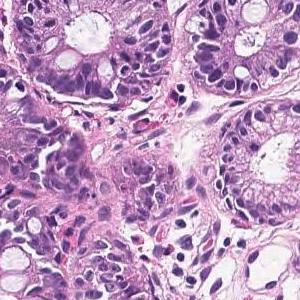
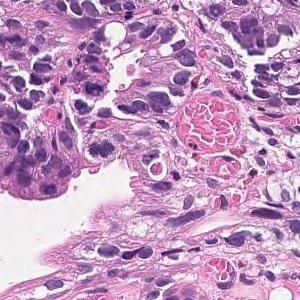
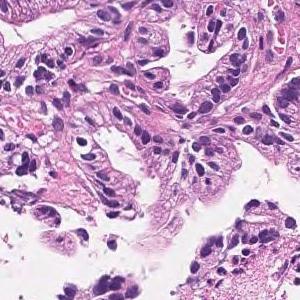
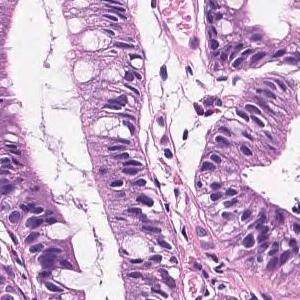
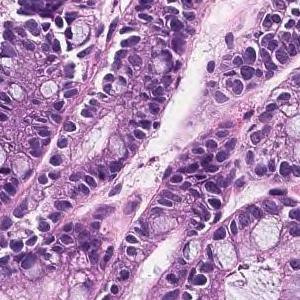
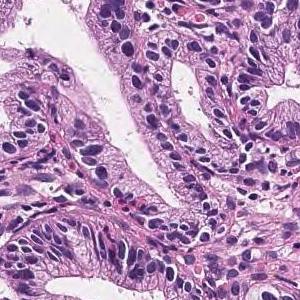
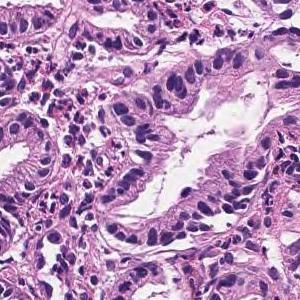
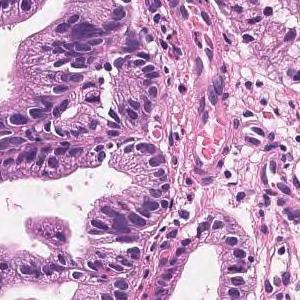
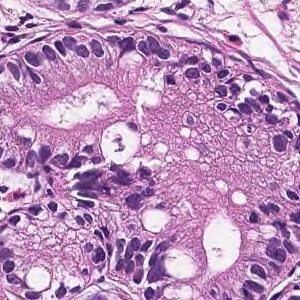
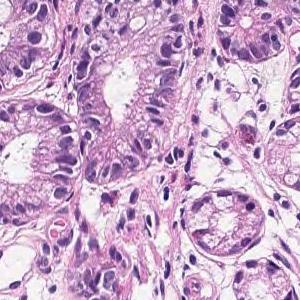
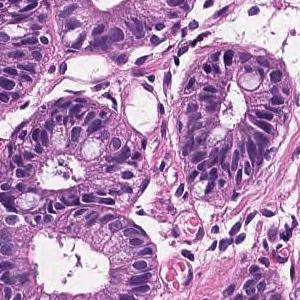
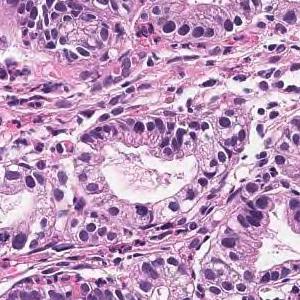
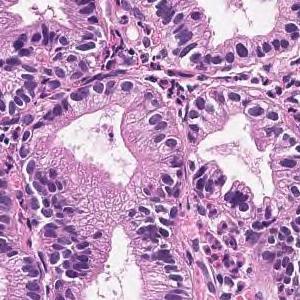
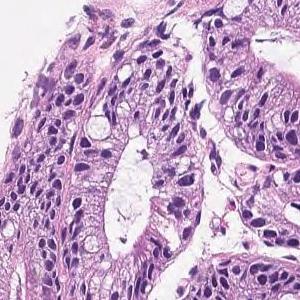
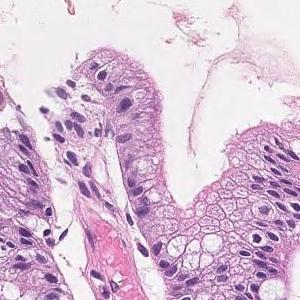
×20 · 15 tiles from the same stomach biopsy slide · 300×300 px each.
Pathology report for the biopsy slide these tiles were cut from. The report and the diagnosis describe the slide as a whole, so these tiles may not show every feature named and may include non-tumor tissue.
In the superficial epithelium, tumor tissue that invades by forming medium-sized to small, irregular ducts is observed. Well differentiated tubular adenocarcinoma.
